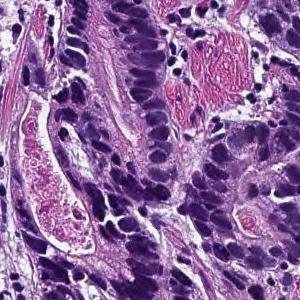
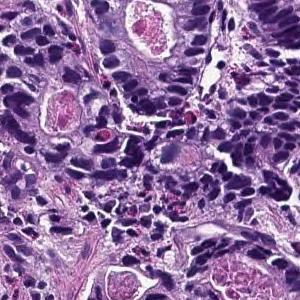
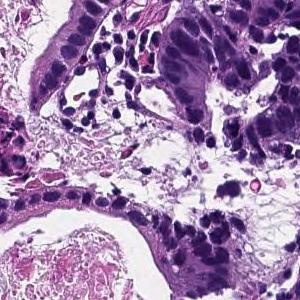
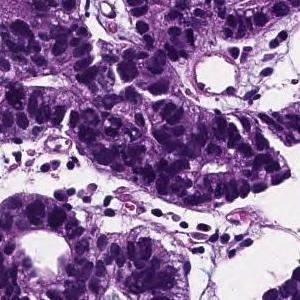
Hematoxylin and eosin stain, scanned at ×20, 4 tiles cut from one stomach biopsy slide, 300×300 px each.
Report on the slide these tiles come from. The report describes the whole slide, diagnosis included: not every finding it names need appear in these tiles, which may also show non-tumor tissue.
From the superficial epithelium to the muscularis mucosae, tumor tissue consisting of medium-sized and irregular glandular ducts infiltrating is observed. Well differentiated tubular adenocarcinoma
